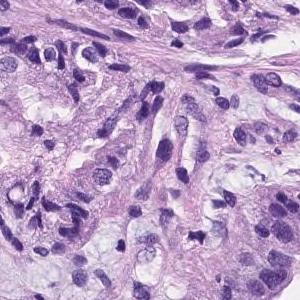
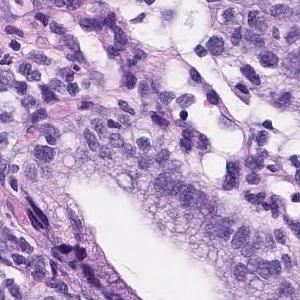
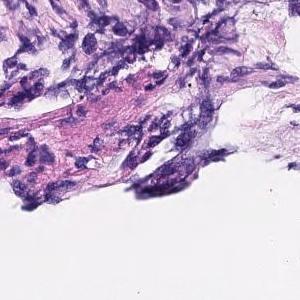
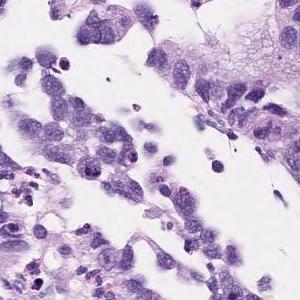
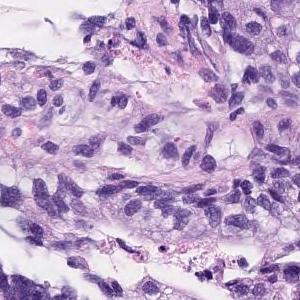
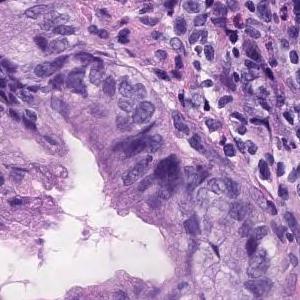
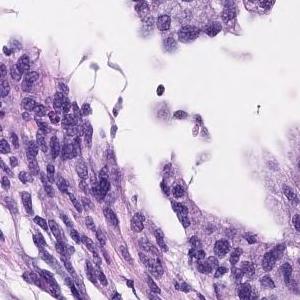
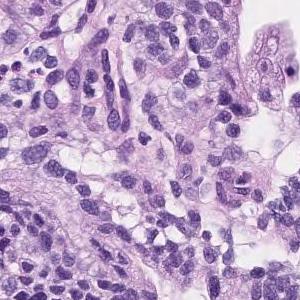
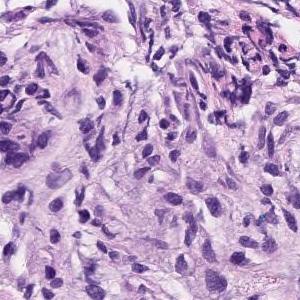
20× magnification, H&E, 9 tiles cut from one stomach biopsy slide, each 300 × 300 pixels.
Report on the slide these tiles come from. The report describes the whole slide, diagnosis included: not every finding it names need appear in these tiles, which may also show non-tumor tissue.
Tumor cells are large, highly columnar, large club-shaped nuclei, and are associated with chromatin aggregation. Papillary adenocarcinoma.
